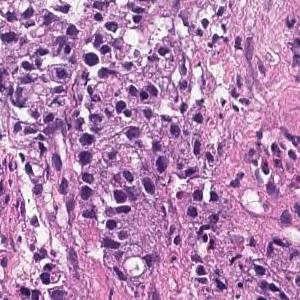
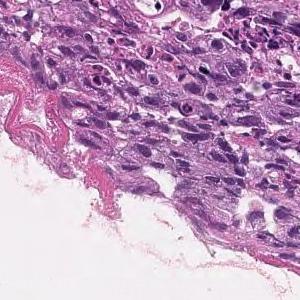
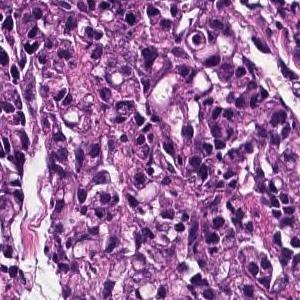
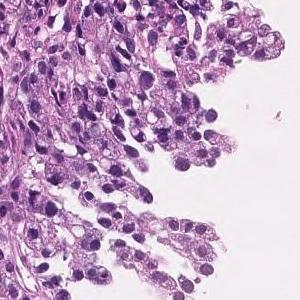
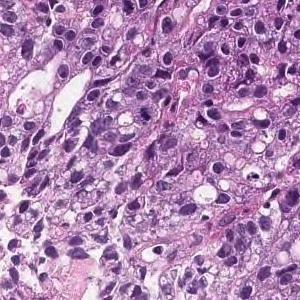
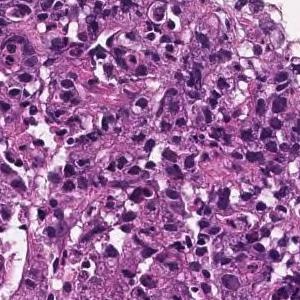
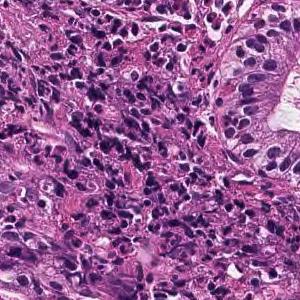
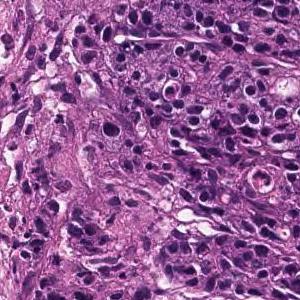
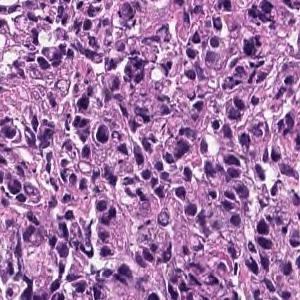
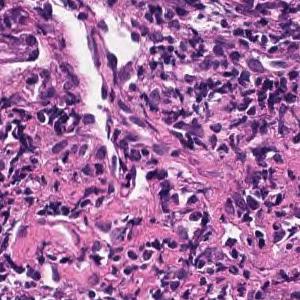
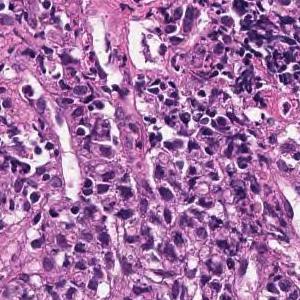
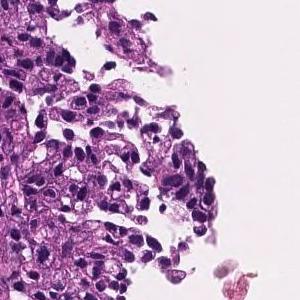
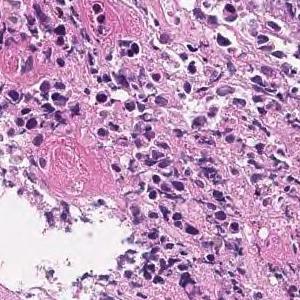
13 tiles cut from one stomach biopsy slide; 300×300 px each.
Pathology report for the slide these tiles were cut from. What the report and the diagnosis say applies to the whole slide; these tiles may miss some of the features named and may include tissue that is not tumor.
Medium to small, irregular glandular ducts are formed in the superficial epithelium, and in some cases, the glandular ducts are fused to show solid alveolar lesions and infiltrating tumor tissue is observed. Moderately to poorly differentiated adenocarcinoma.
